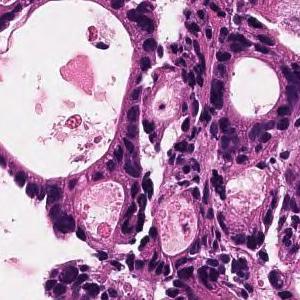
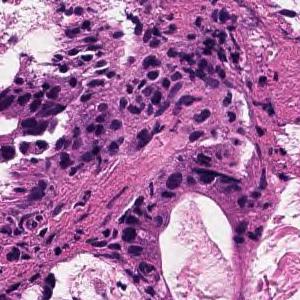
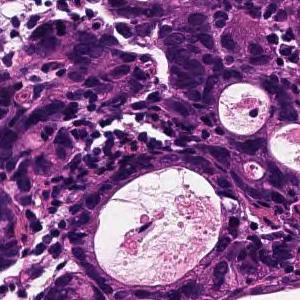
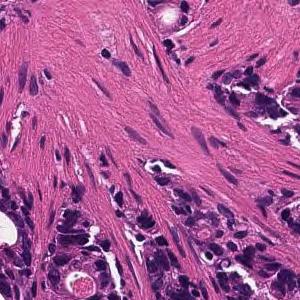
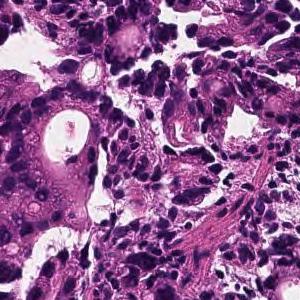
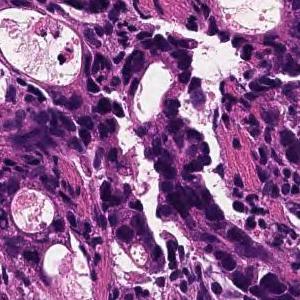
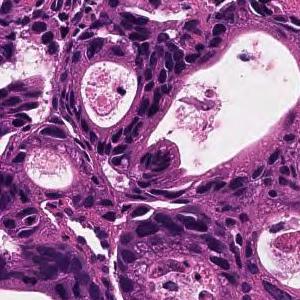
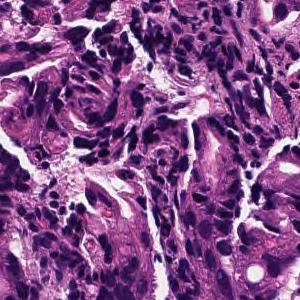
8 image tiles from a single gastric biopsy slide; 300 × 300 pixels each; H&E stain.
Pathology report for the slide these tiles were cut from. Both the report and the diagnosis are for the whole slide: these tiles need not show every feature named, and some of the tissue shown may not be tumor.
In the superficial epithelium, tumor tissue that invades by forming medium-sized to small, irregular ducts is observed. moderately differentiated tubular adenocarcinoma.
